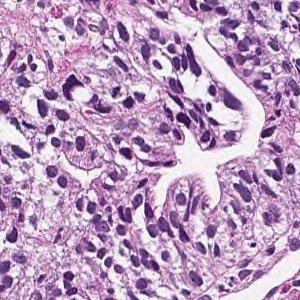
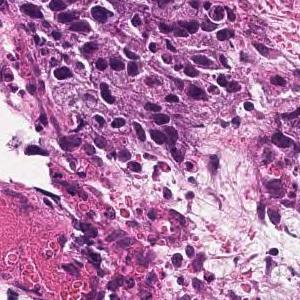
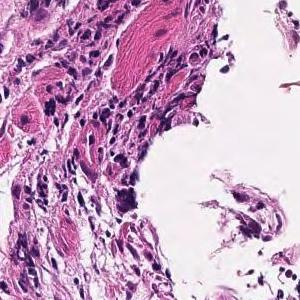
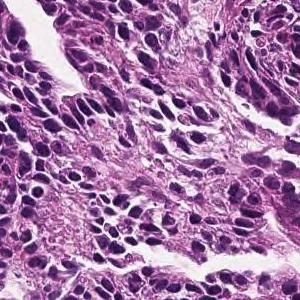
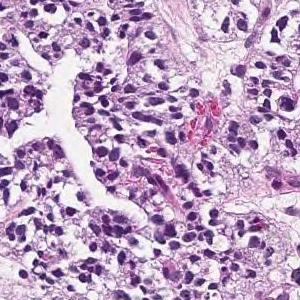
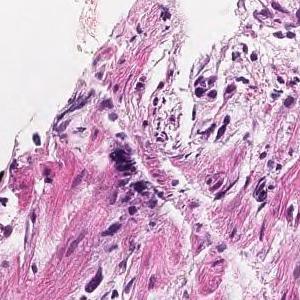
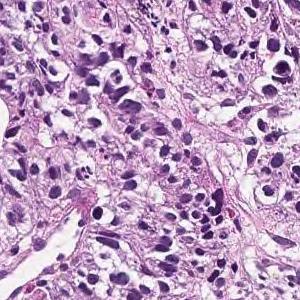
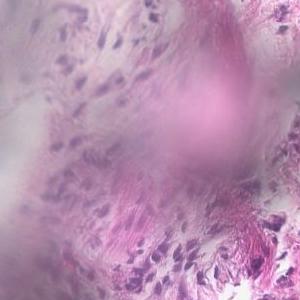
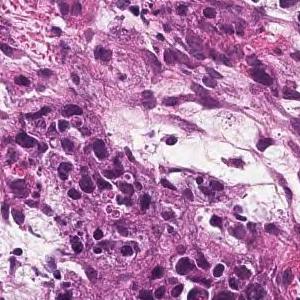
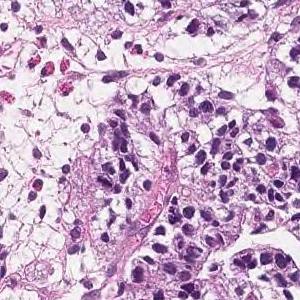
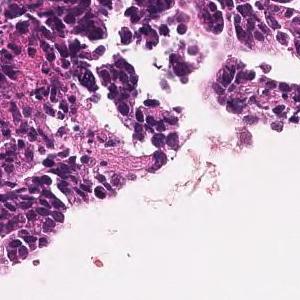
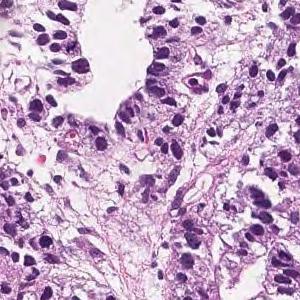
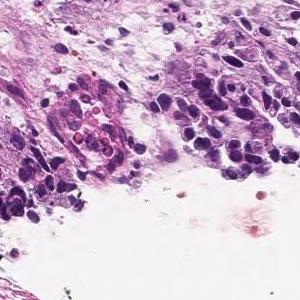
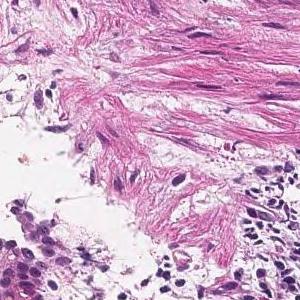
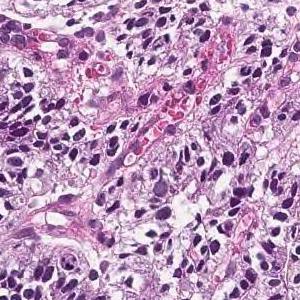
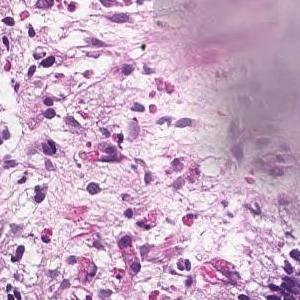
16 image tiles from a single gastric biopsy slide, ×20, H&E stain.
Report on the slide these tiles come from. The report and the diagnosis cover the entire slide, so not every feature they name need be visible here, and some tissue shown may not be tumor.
In the superficial epithelium, tumor tissue that invades by forming medium-sized to small, irregular ducts is observed. moderately differentiated tubular adenocarcinoma.
